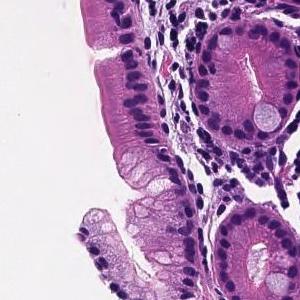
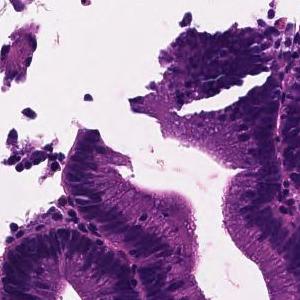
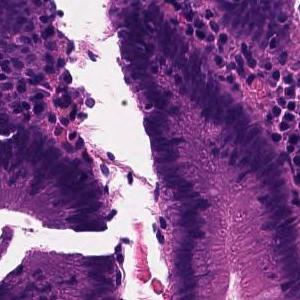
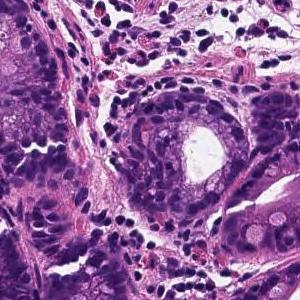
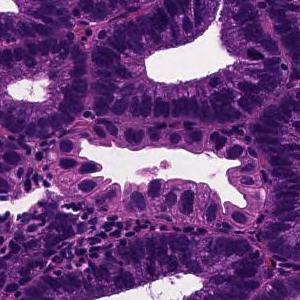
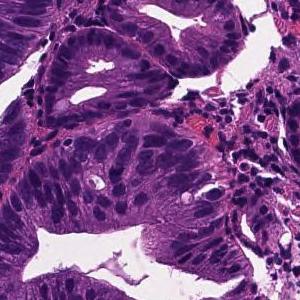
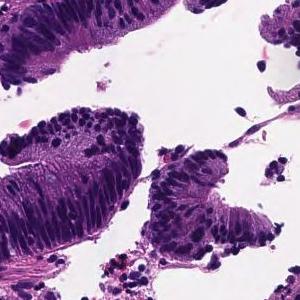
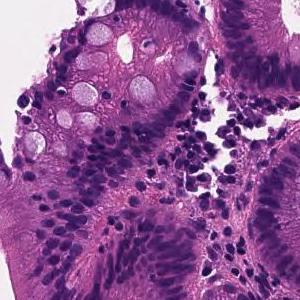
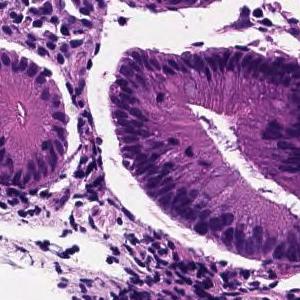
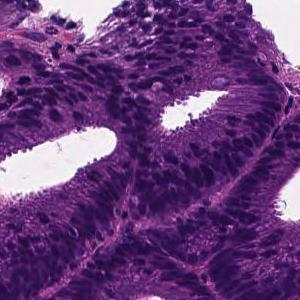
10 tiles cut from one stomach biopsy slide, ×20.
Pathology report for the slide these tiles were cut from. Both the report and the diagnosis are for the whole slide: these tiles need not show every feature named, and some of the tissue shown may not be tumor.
Tumor tissue in which medium to small irregular ducts infiltrate and proliferate in the submucosa can be seen in the epithelium. Well differentiated tubular adenocarcinoma
